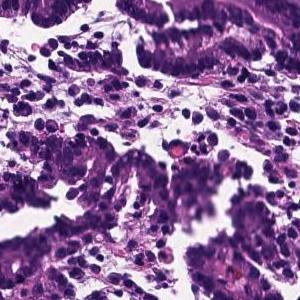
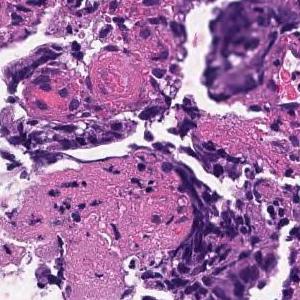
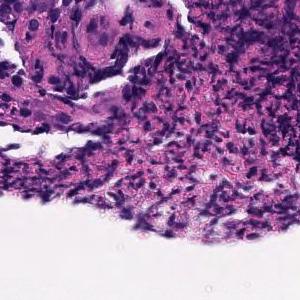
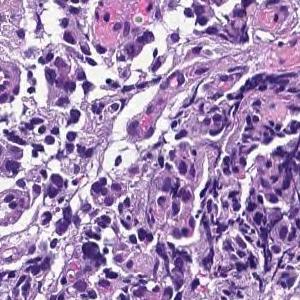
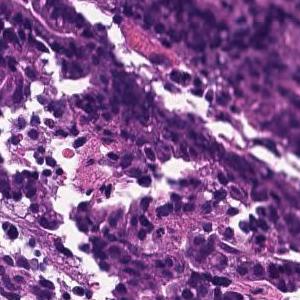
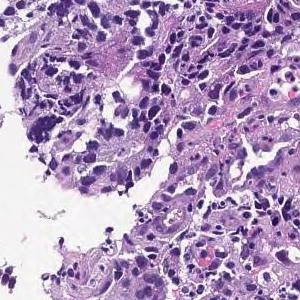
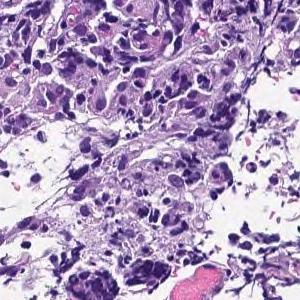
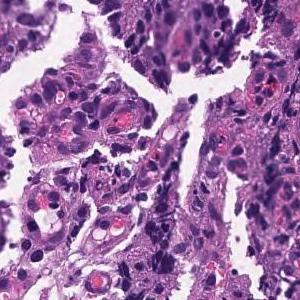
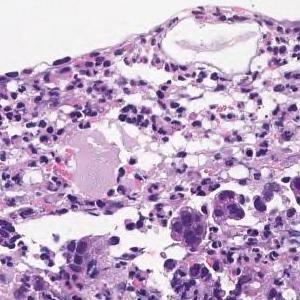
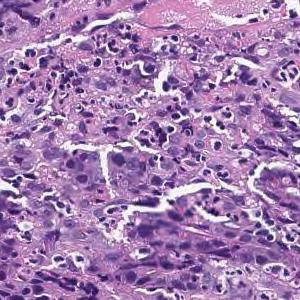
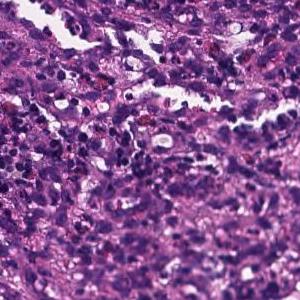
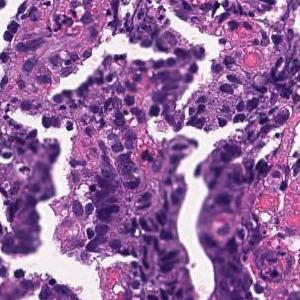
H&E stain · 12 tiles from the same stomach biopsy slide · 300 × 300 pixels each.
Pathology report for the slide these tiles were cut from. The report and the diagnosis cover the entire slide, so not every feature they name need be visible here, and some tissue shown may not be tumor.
On the superficial epithelium, tumor tissue consisting of large irregular glandular ducts partially fused and infiltrated is observed. Well to moderately differentiated tubular adenocarcinoma (well differentiated tubular adenocarcinoma, moderately differentiated tubular adenocarcinoma)
Histological subtype: Well to moderately differentiated tubular adenocarcinoma.
